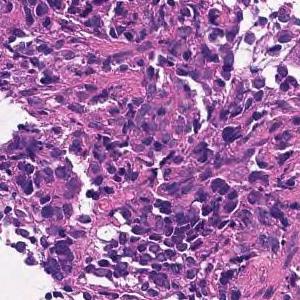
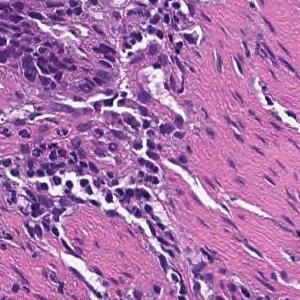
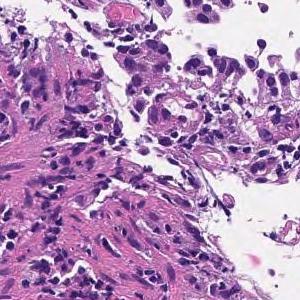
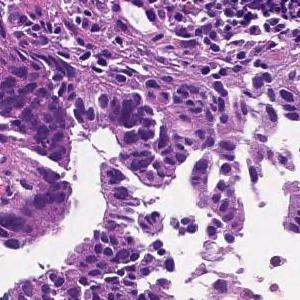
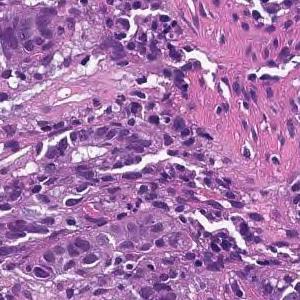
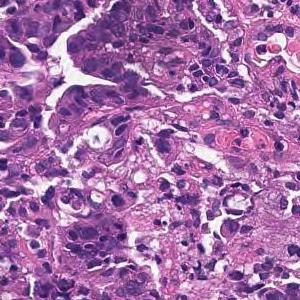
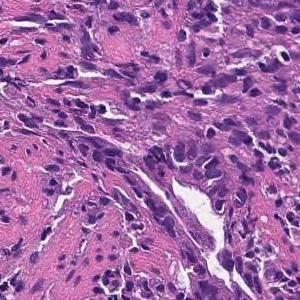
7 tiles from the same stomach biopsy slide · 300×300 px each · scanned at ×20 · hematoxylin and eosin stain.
Diagnostic report for the slide these tiles come from. The findings and the diagnosis refer to the entire slide; these tiles show only part of it, possibly with non-tumor tissue, and may not show every feature named.
On the superficial epithelium, tumor tissue consisting of large, irregular glandular ducts partially fused and infiltrated is observed. Well to moderately differentiated tubular adenocarcinoma (well differentiated tubular adenocarcinoma, moderately differentiated tubular adenocarcinoma)
Classified as well to moderately differentiated tubular adenocarcinoma.
